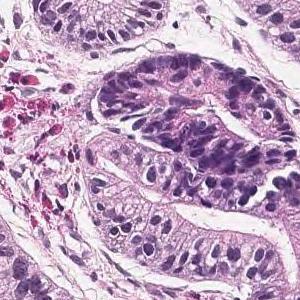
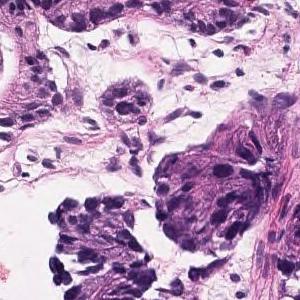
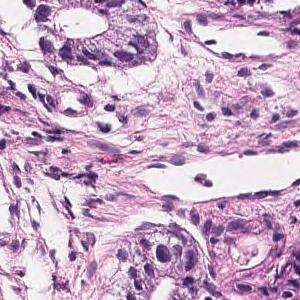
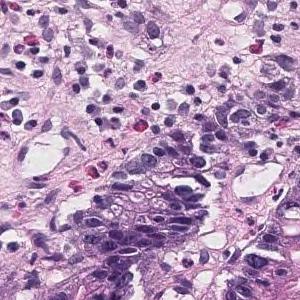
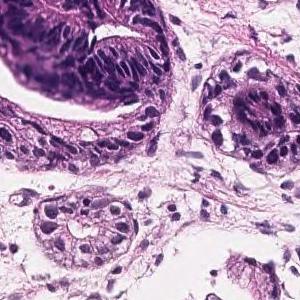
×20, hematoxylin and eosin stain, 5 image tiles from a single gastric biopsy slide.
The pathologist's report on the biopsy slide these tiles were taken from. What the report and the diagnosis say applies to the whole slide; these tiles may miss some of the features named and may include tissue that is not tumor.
Tumor tissue in which medium to small irregular ducts infiltrate and proliferate in the submucosa can be seen in the epithelium. Well differentiated tubular adenocarcinoma
